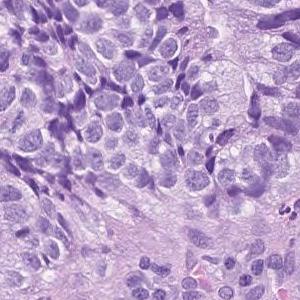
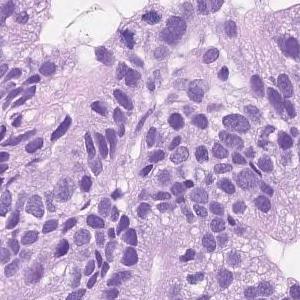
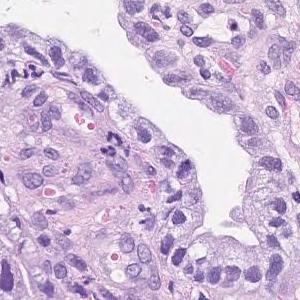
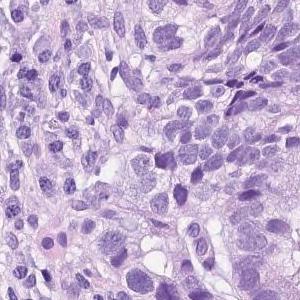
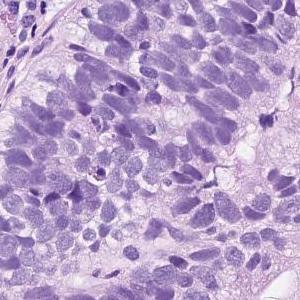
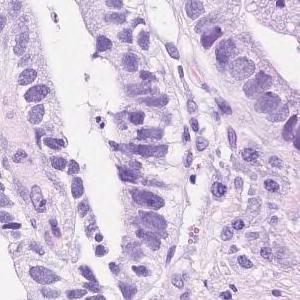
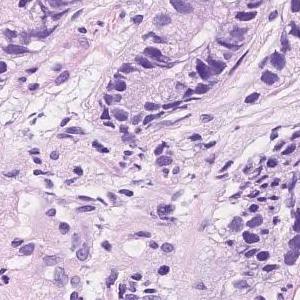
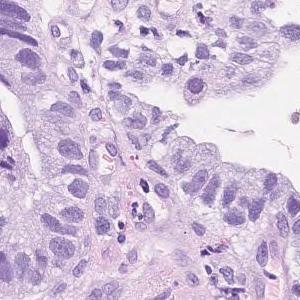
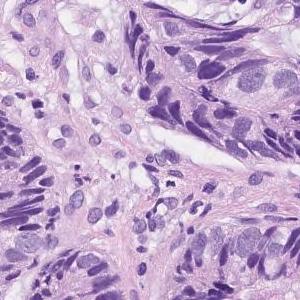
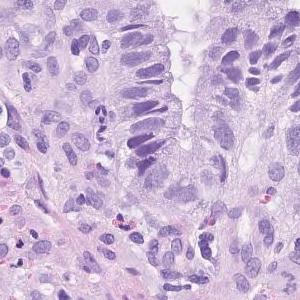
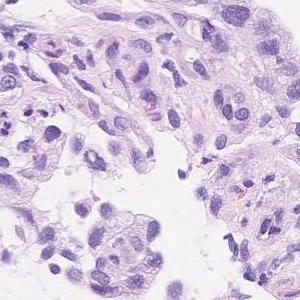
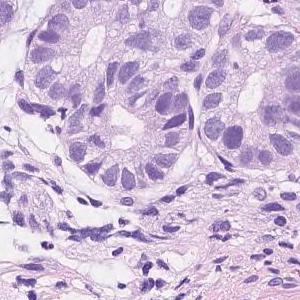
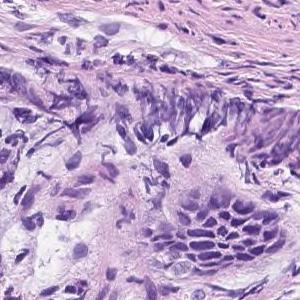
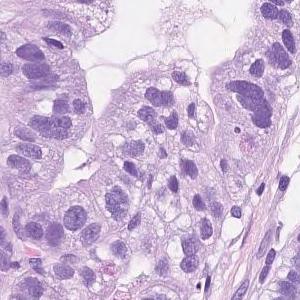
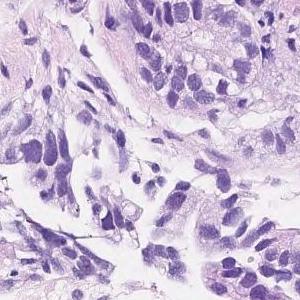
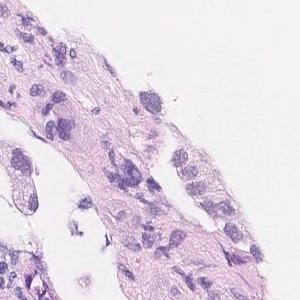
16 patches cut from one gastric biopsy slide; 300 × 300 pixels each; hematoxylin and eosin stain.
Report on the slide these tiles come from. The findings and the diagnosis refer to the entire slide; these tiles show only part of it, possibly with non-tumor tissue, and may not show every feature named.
Atypical l cells with atypical nuclei forming solid or diffuse vesicles or small irregular atypical ducts and growing in a complex manner. moderately differentiated tubular adenocarcinoma
